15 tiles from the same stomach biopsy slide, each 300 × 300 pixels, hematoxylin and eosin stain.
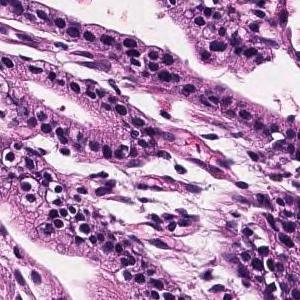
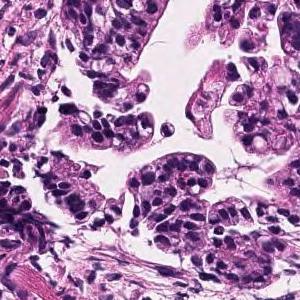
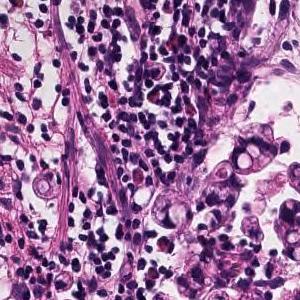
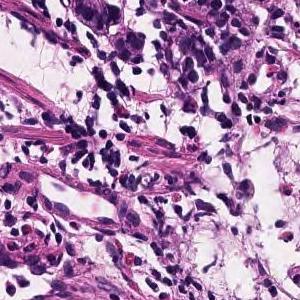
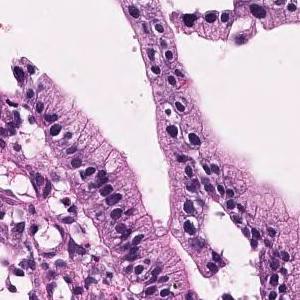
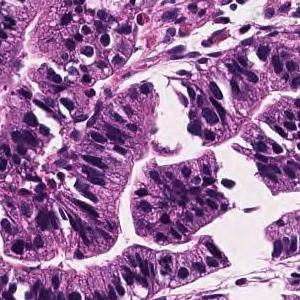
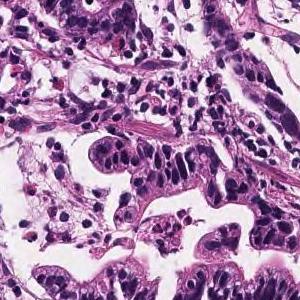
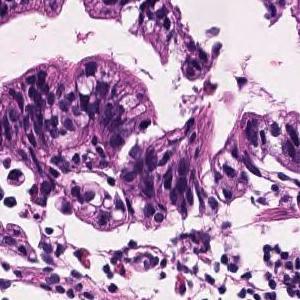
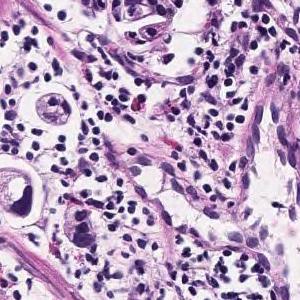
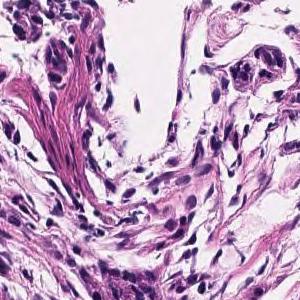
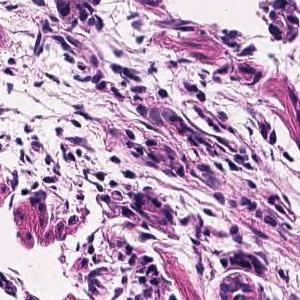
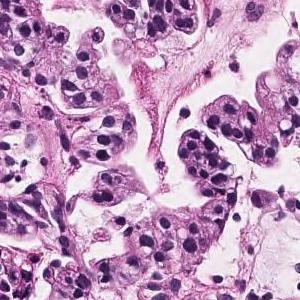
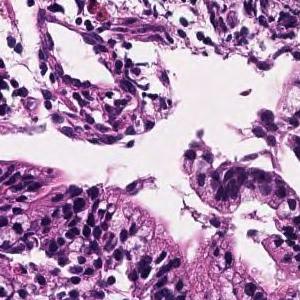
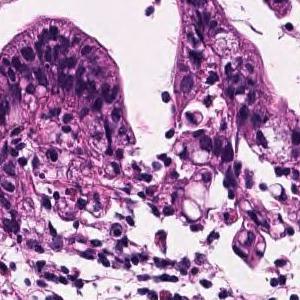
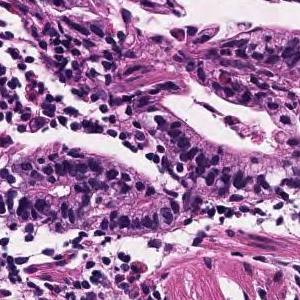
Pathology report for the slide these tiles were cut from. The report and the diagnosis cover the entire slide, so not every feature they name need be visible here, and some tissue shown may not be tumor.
Tumor tissue consisting of large papillary structures or irregular glandular ducts partially fused and infiltrated is observed in the superficial epithelium. Well to moderately differentiated tubular adenocarcinoma.
Dataset label: moderately differentiated tubular adenocarcinoma.
